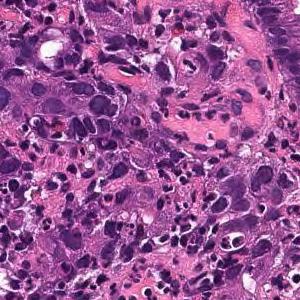
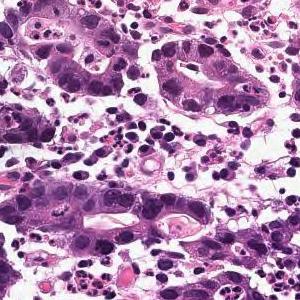
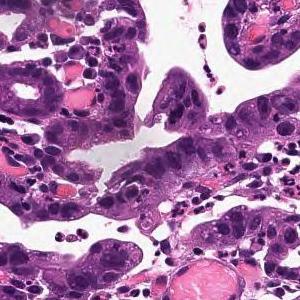
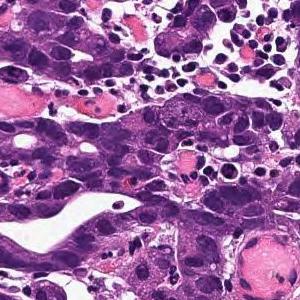
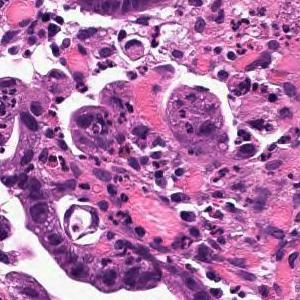
H&E stain, 5 image tiles from a single gastric biopsy slide.
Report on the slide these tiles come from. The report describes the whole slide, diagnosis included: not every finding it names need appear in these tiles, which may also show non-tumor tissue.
On the superficial epithelium, a tumor tissue consisting of a large, irregular glandular duct partially fused and infiltrating with a small alveolar shape is observed. Well or moderately differentiated tubular adenocarcinoma (well differentiated tubular adenocarcinoma, moderately differentiated tubular adenocarcinoma)
Classified as well to moderately differentiated tubular adenocarcinoma.
